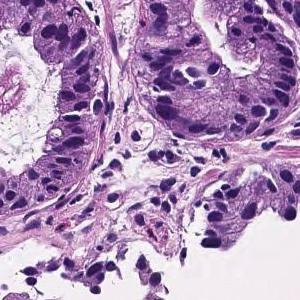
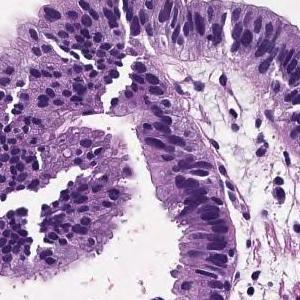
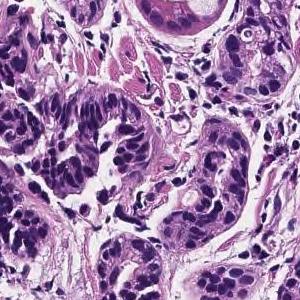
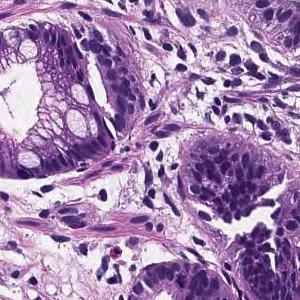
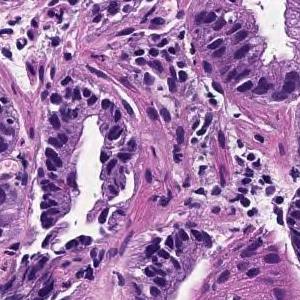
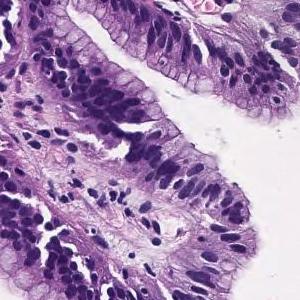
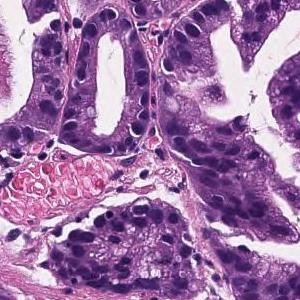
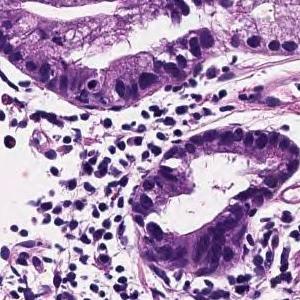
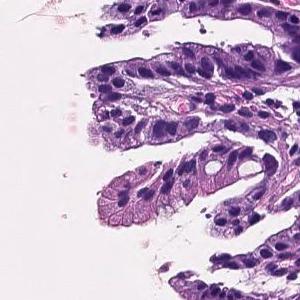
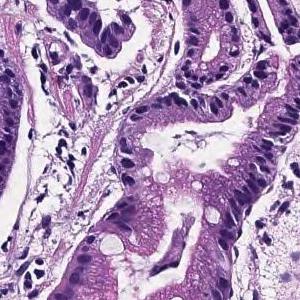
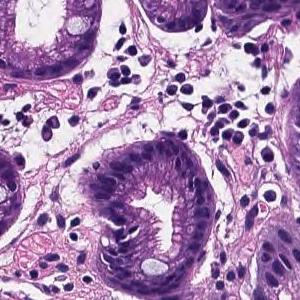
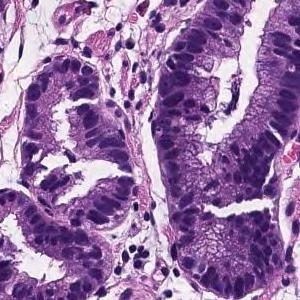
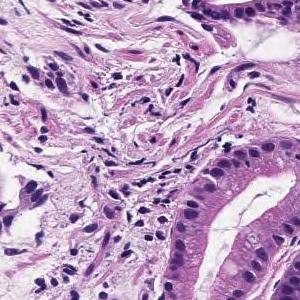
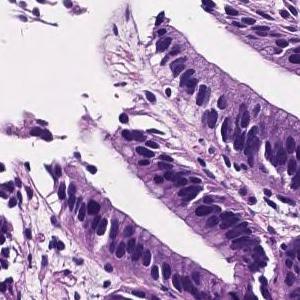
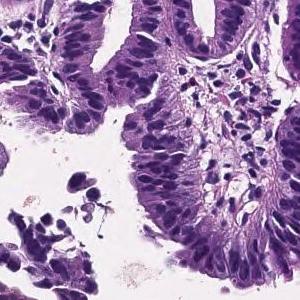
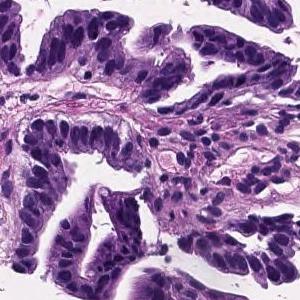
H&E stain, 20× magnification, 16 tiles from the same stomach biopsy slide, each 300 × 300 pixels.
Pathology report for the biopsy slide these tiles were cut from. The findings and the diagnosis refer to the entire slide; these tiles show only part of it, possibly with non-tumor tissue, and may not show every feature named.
Tumor cells are large, highly columnar, large club-shaped nuclei, and are associated with chromatin aggregation. Papillary adenocarcinoma.
